20× magnification; hematoxylin and eosin stain; 15 tiles from the same stomach biopsy slide; 300 × 300 pixels each.
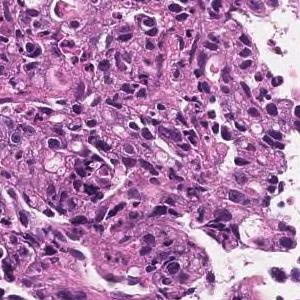
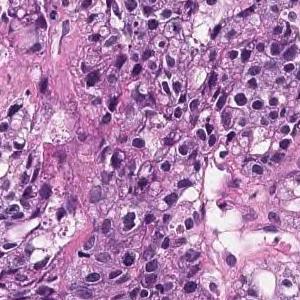
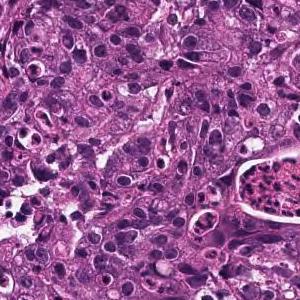
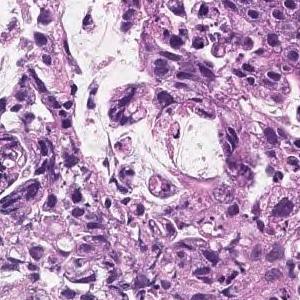
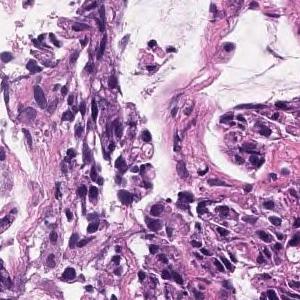
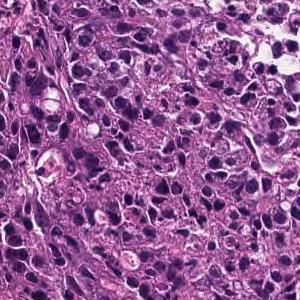
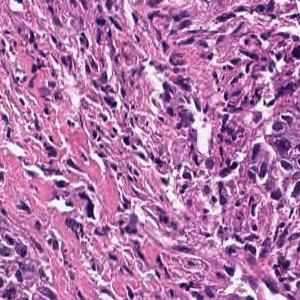
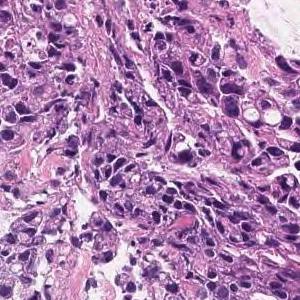
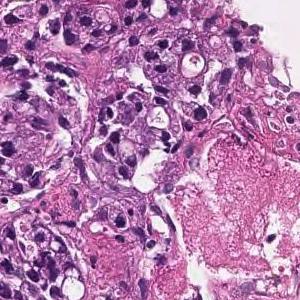
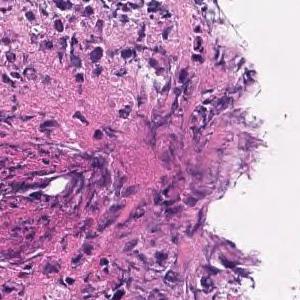
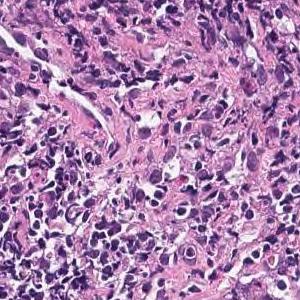
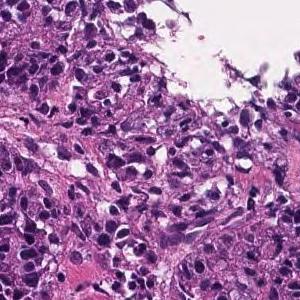
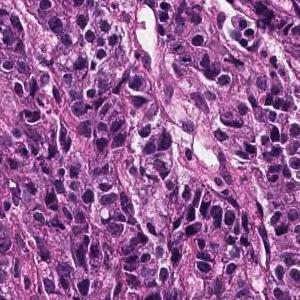
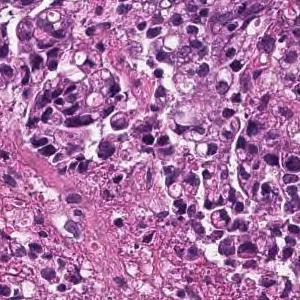
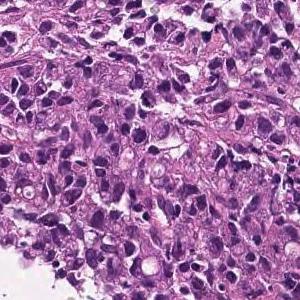
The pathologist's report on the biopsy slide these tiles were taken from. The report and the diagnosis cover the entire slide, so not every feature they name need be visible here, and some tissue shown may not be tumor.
Medium to small, irregular glandular ducts are formed in the superficial epithelium, and in some cases, the glandular ducts are fused to show solid alveolar lesions and infiltrating tumor tissue is observed. Moderately to poorly differentiated adenocarcinoma.
